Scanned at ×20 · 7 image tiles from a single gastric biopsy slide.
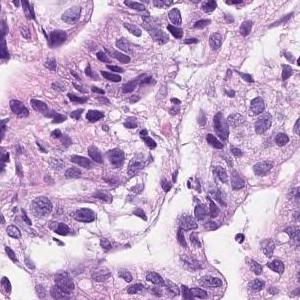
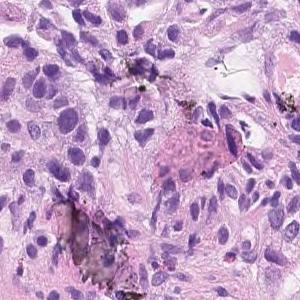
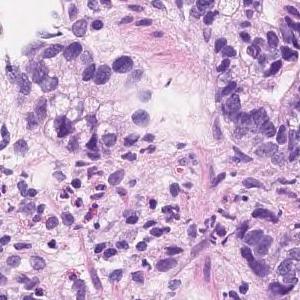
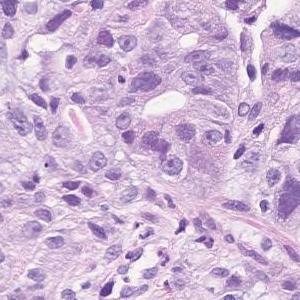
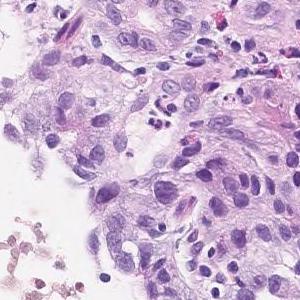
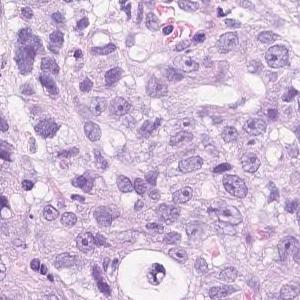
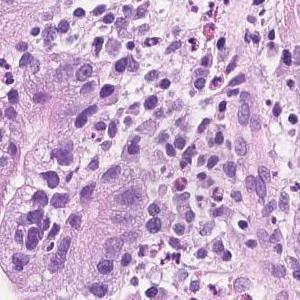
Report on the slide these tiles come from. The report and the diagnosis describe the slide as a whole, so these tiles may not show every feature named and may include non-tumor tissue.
In the superficial epithelium, tumor tissue that invades by forming medium-sized to small, irregular ducts is observed. Moderately to poorly differentiated adenocarcinoma
